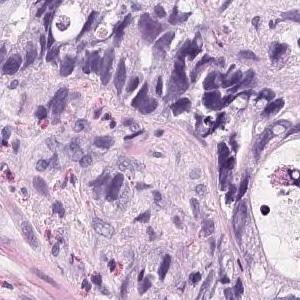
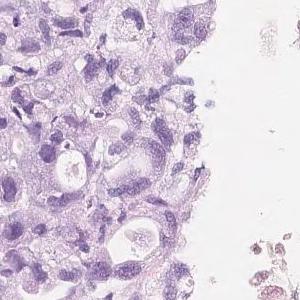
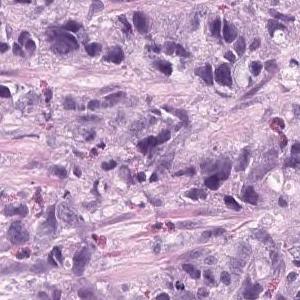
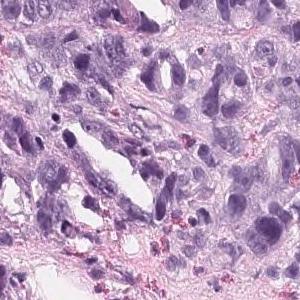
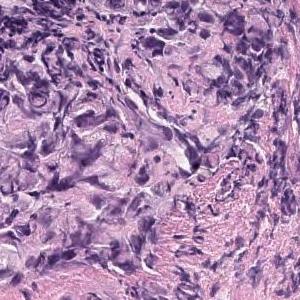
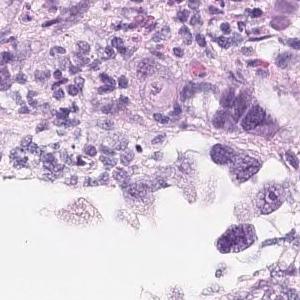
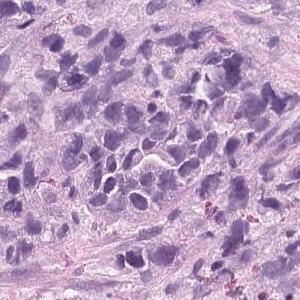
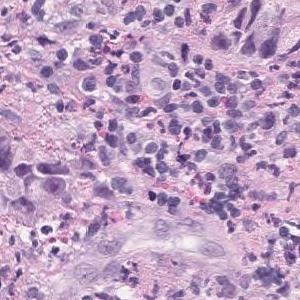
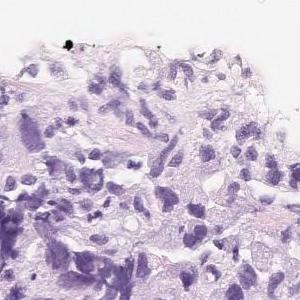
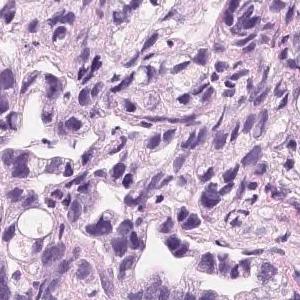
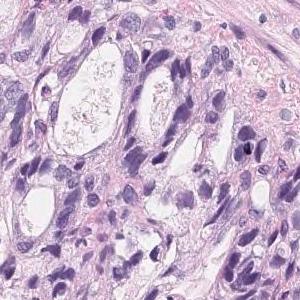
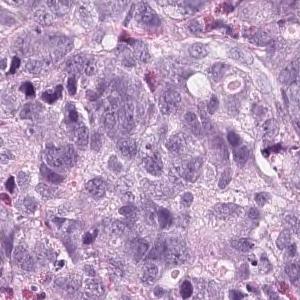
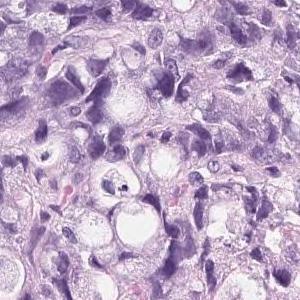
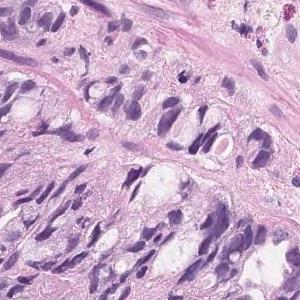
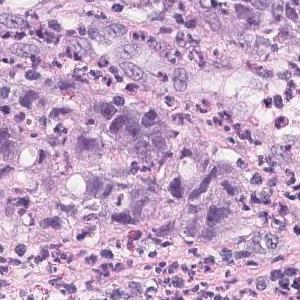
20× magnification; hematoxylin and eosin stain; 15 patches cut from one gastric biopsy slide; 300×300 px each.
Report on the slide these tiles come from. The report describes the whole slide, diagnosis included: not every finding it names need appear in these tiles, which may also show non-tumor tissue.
Tumor tissue that infiltrates and proliferates by forming small glandular cavities in the superficial layer to the submucosa or forming a mass is observed. moderately differentiated tubular adenocarcinoma
